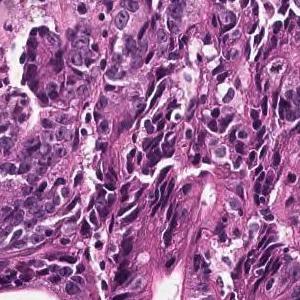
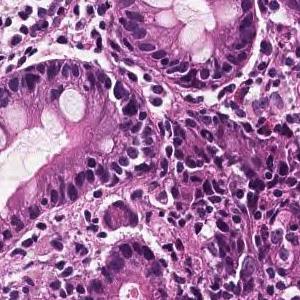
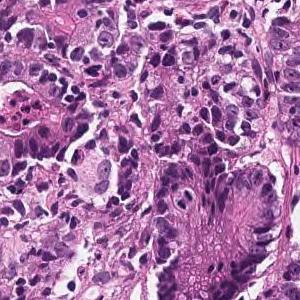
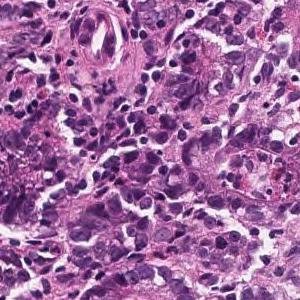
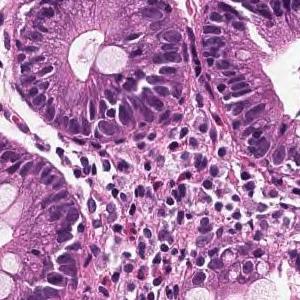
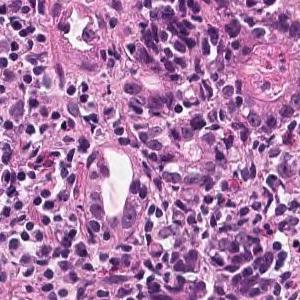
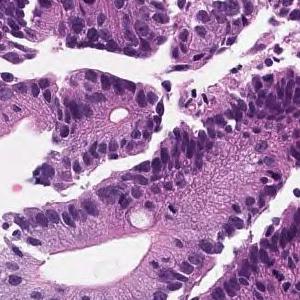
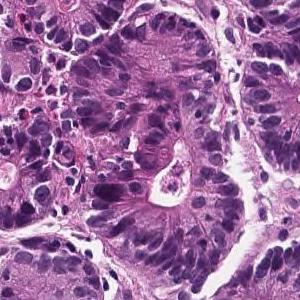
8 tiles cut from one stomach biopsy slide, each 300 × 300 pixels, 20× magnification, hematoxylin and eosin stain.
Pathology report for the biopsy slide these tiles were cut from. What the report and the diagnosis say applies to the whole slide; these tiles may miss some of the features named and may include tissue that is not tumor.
In the superficial epithelium, tumor tissue that invades by forming medium-sized to small, irregular ducts is observed. Moderately differentiated adenocarcinoma.
Tumor subtype: moderately differentiated tubular adenocarcinoma.
